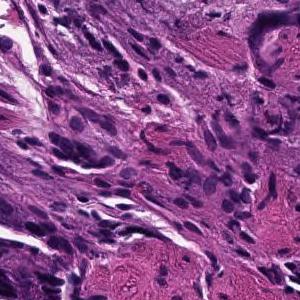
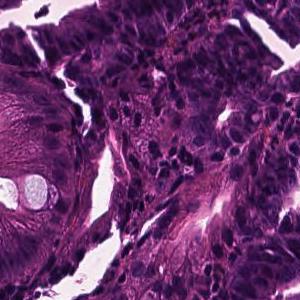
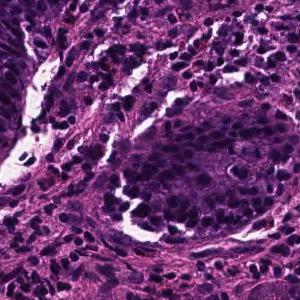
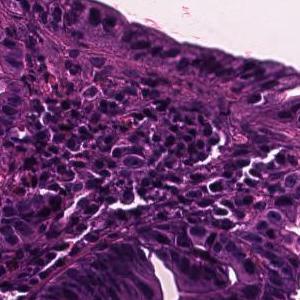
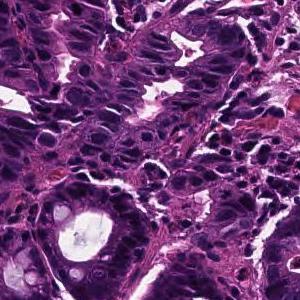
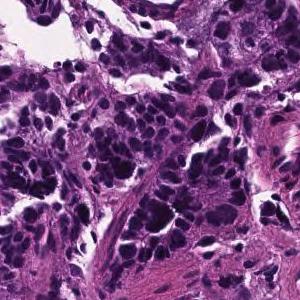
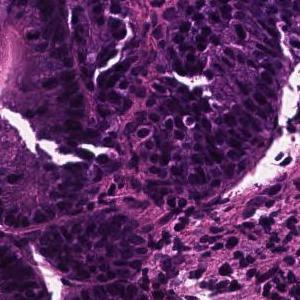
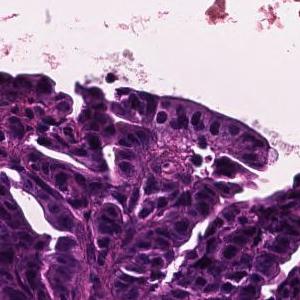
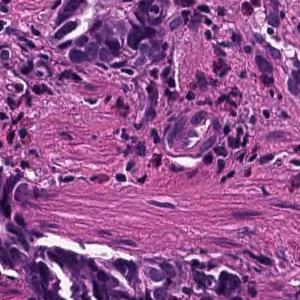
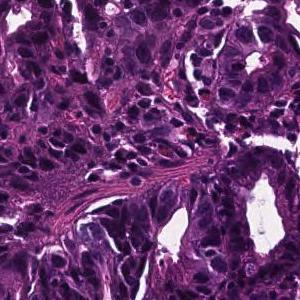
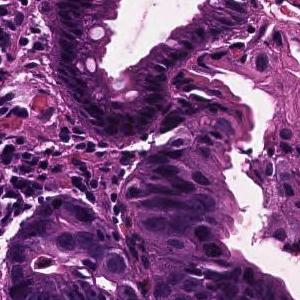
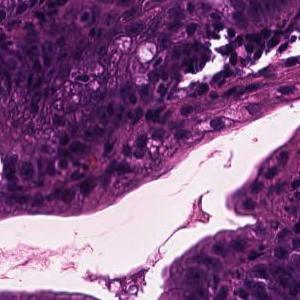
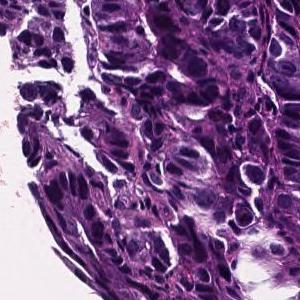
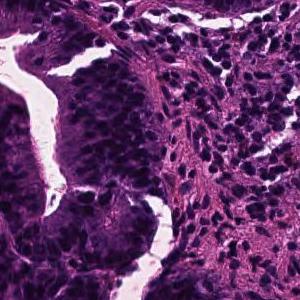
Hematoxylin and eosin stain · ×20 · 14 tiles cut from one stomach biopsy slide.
Diagnostic report for the slide these tiles come from. The report and the diagnosis cover the entire slide, so not every feature they name need be visible here, and some tissue shown may not be tumor.
In the superficial epithelium, tumor tissue that invades by forming medium-sized to small, irregular ducts is observed. moderately differentiated tubular adenocarcinoma.
